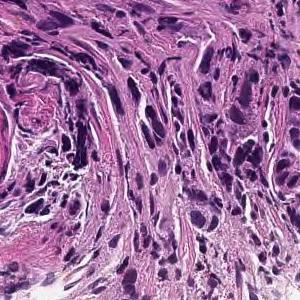
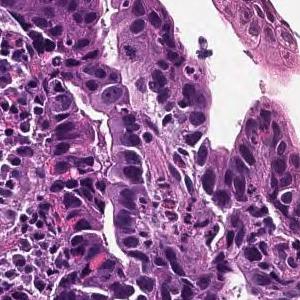
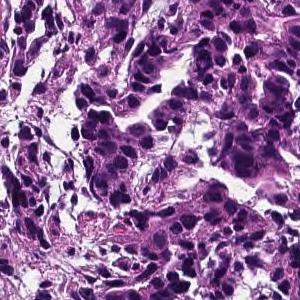
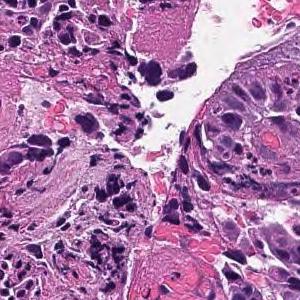
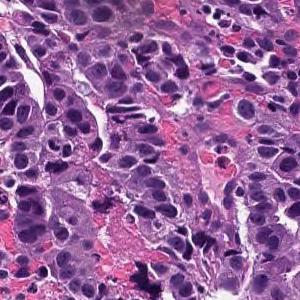
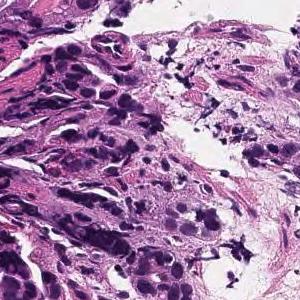
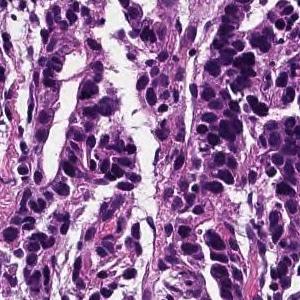
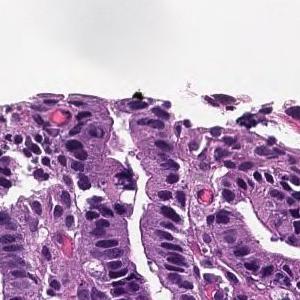
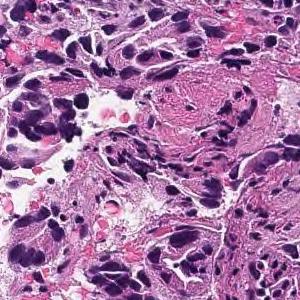
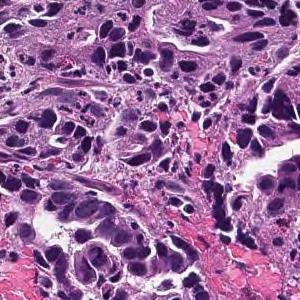
10 patches cut from one gastric biopsy slide, 20× magnification, H&E.
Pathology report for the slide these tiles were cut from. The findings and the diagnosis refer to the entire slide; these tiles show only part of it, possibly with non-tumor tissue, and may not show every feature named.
In the superficial epithelium, tumor tissue that invades by forming medium-sized to small, irregular ducts is observed. moderately differentiated tubular adenocarcinoma.
